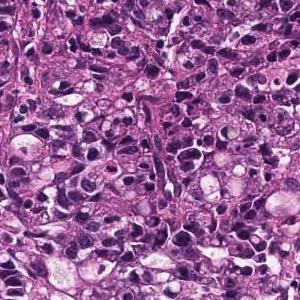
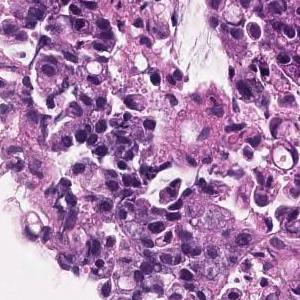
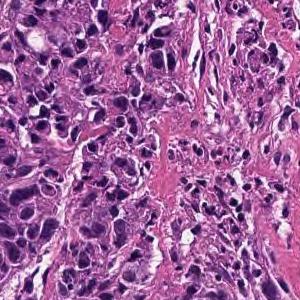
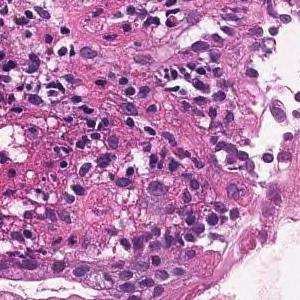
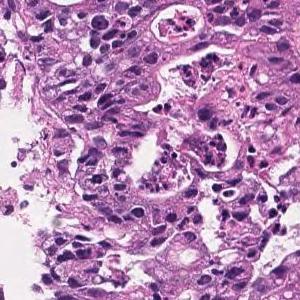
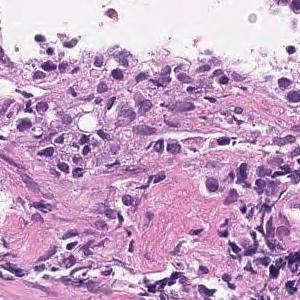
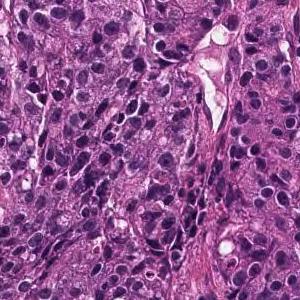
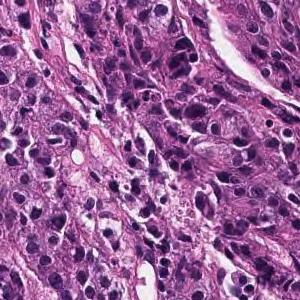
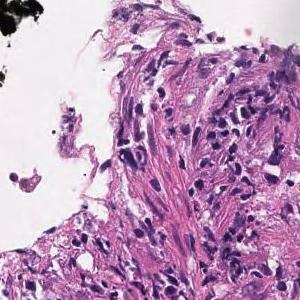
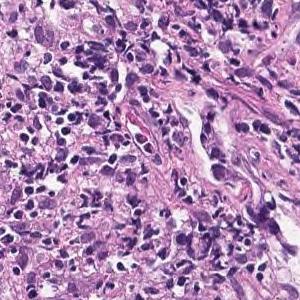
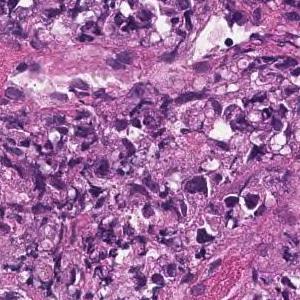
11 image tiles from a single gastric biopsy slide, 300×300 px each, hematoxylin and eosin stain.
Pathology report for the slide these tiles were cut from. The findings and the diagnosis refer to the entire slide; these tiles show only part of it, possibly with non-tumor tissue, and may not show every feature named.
Medium to small, irregular glandular ducts are formed in the superficial epithelium, and in some cases, the glandular ducts are fused to show solid alveolar lesions and infiltrating tumor tissue is observed. Moderately to poorly differentiated adenocarcinoma.
